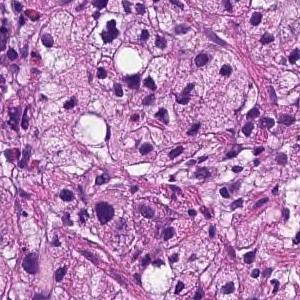
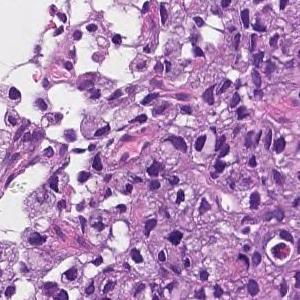
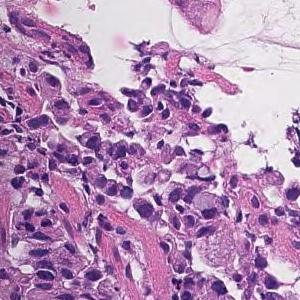
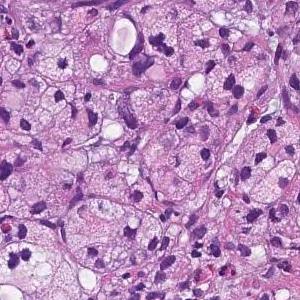
Hematoxylin and eosin stain, ×20, 4 patches cut from one gastric biopsy slide, 300×300 px each.
The pathologist's report on the biopsy slide these tiles were taken from. The report and the diagnosis cover the entire slide, so not every feature they name need be visible here, and some tissue shown may not be tumor.
In the lamina propria, a tumor tissue consisting of signet ring cell type atypical epithelial cells infiltrating is observed. Signet ring cell carcinoma.
